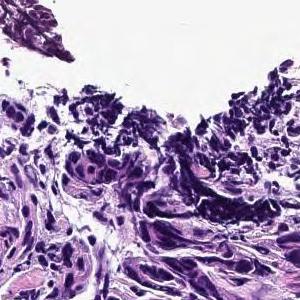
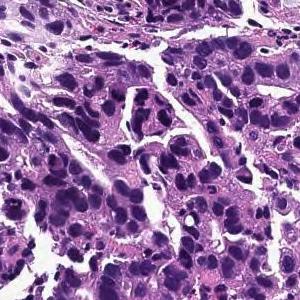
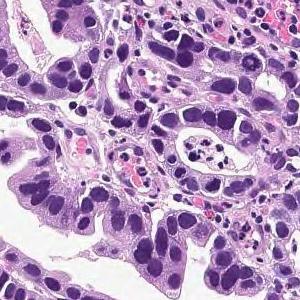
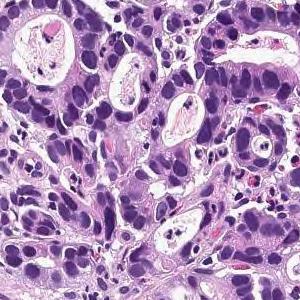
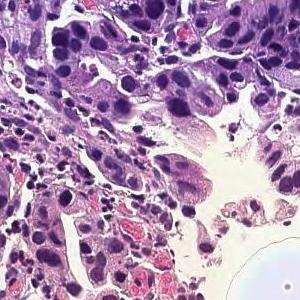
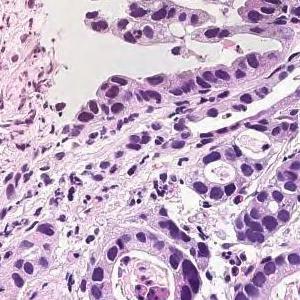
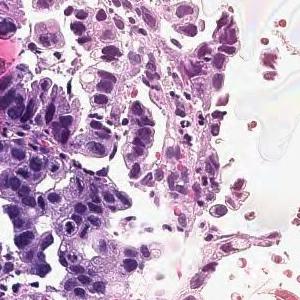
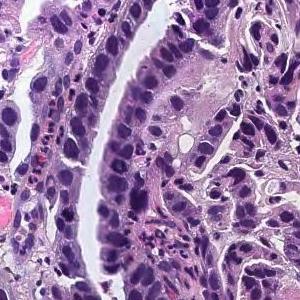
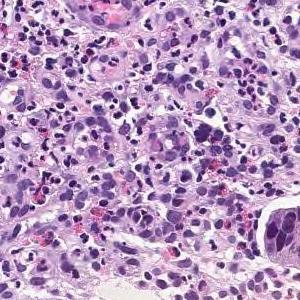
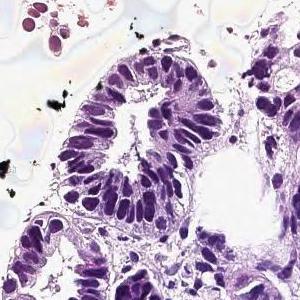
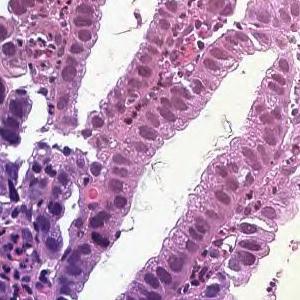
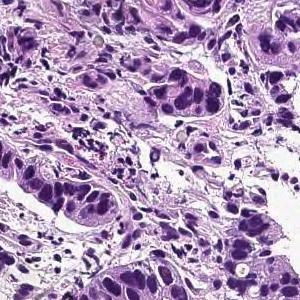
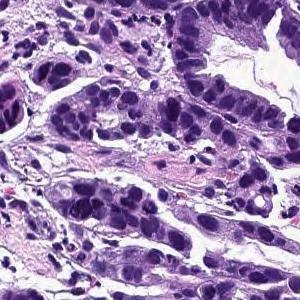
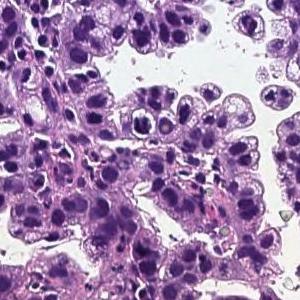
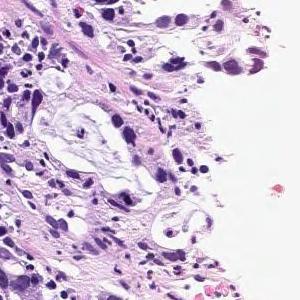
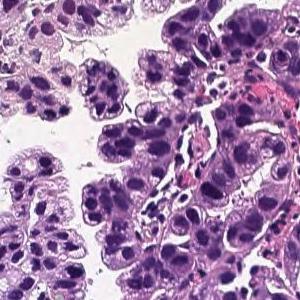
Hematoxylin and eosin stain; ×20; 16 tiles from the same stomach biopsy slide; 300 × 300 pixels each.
Diagnostic report for the slide these tiles come from. The report and the diagnosis describe the slide as a whole, so these tiles may not show every feature named and may include non-tumor tissue.
On the superficial epithelium, tumor tissue consisting of large irregular glandular ducts partially fused and infiltrated is observed. Well to moderately differentiated tubular adenocarcinoma (well differentiated tubular adenocarcinoma, moderately differentiated tubular adenocarcinoma)
Histological subtype: Well to moderately differentiated tubular adenocarcinoma.
